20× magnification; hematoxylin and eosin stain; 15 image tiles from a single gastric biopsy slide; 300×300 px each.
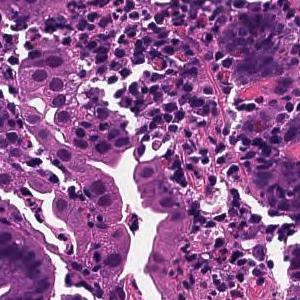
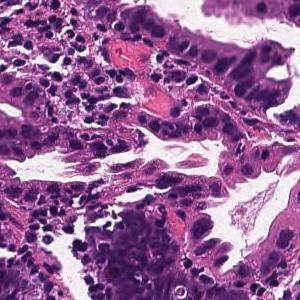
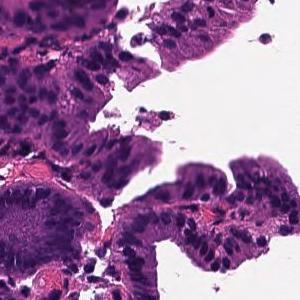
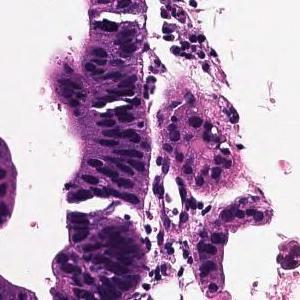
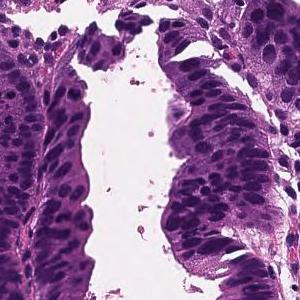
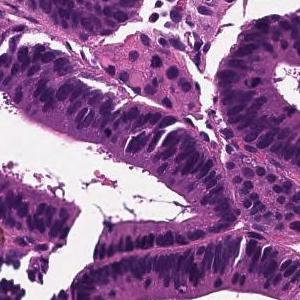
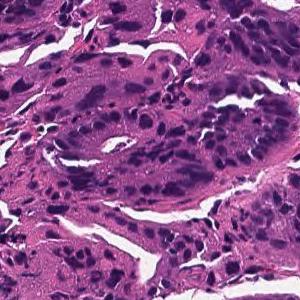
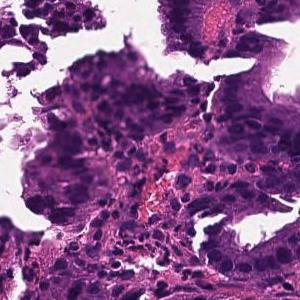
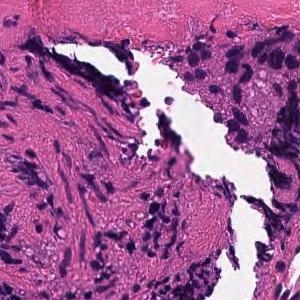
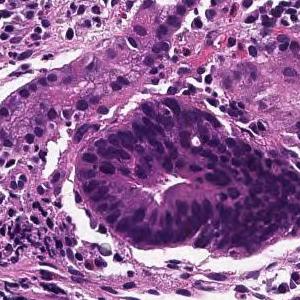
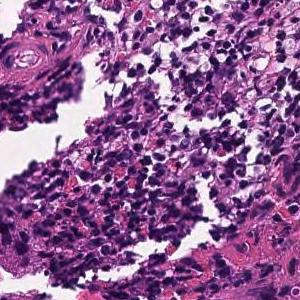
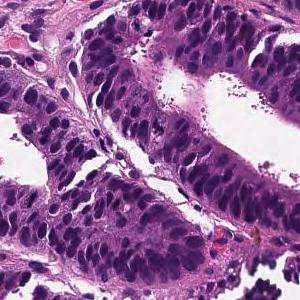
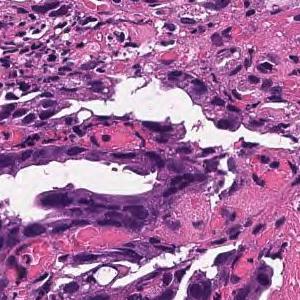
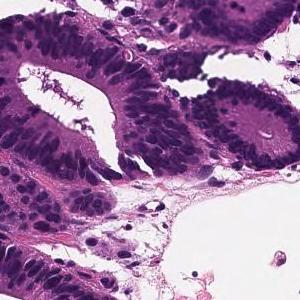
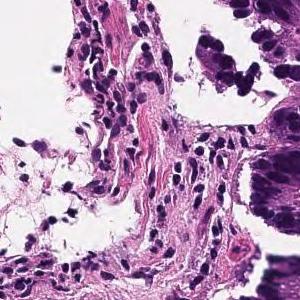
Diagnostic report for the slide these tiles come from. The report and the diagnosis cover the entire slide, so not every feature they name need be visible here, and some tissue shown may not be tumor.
Tumor cells are large, highly columnar, large club-shaped nuclei, and are associated with chromatin aggregation. Papillary adenocarcinoma.
